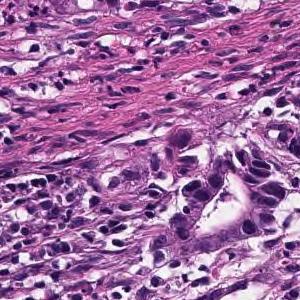
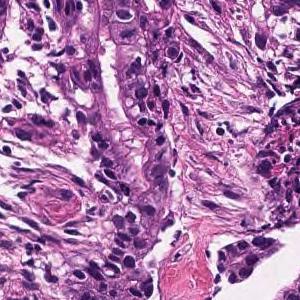
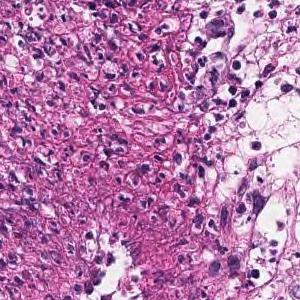
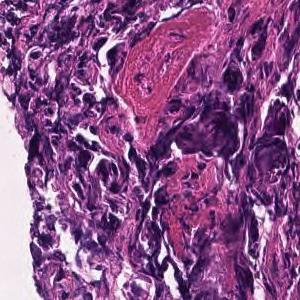
4 tiles cut from one stomach biopsy slide; 20× magnification; H&E.
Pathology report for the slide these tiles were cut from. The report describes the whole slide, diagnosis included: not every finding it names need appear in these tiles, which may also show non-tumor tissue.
In the superficial epithelium, medium to small, irregular gland ducts are formed, and in some cases, the gland ducts are fused to show solid alveolar lesions and infiltrating tumor tissue is observed. Moderately to poorly differentiated adenocarcinoma.
